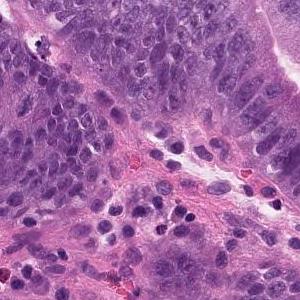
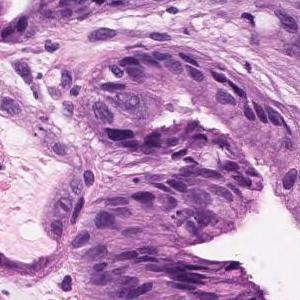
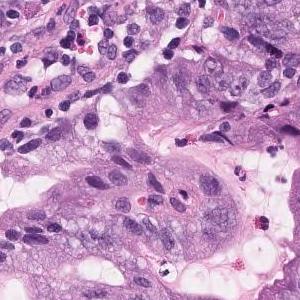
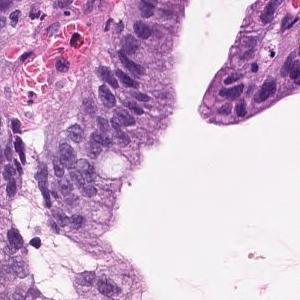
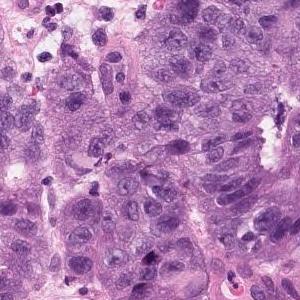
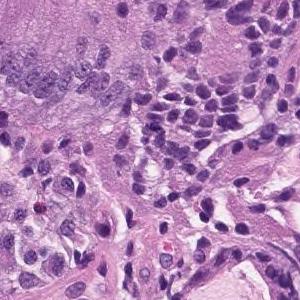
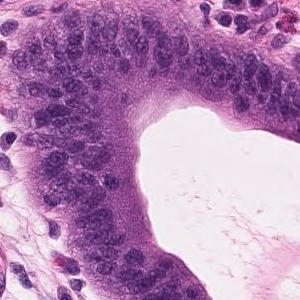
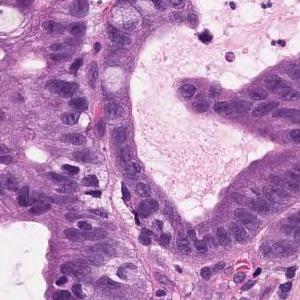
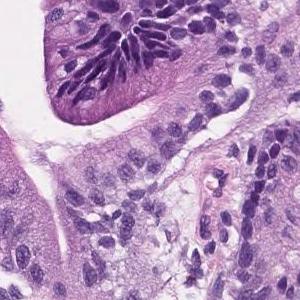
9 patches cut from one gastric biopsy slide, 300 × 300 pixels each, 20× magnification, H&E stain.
Diagnostic report for the slide these tiles come from. The report and the diagnosis describe the slide as a whole, so these tiles may not show every feature named and may include non-tumor tissue.
On the superficial epithelium, tumor tissue consisting of large, irregular glandular ducts partially fused and infiltrated is observed. Well to moderately differentiated tubular adenocarcinoma (well differentiated tubular adenocarcinoma, moderately differentiated tubular adenocarcinoma)
Classified as well to moderately differentiated tubular adenocarcinoma.
